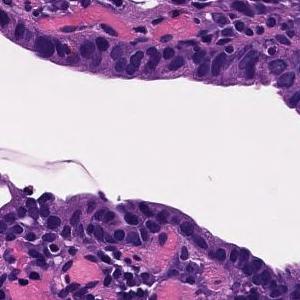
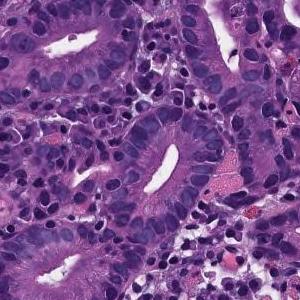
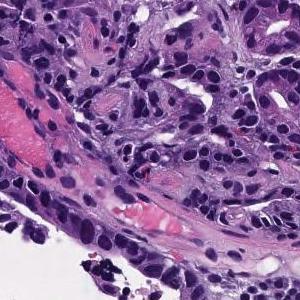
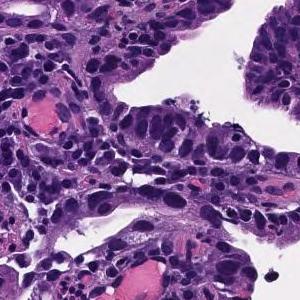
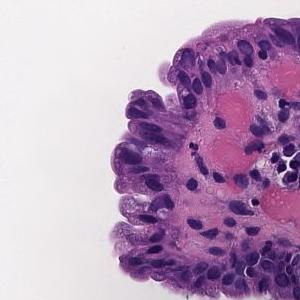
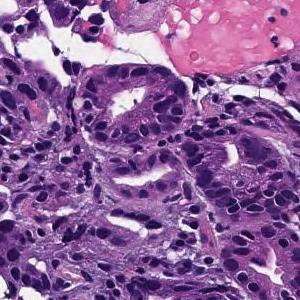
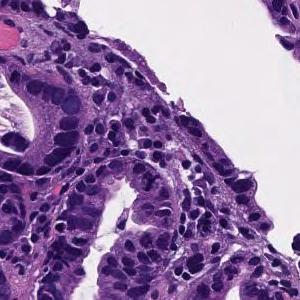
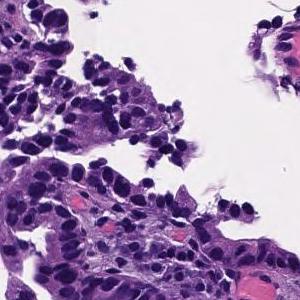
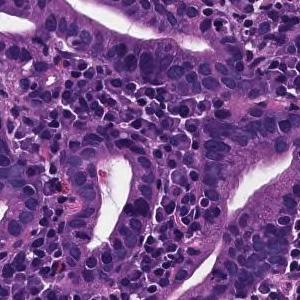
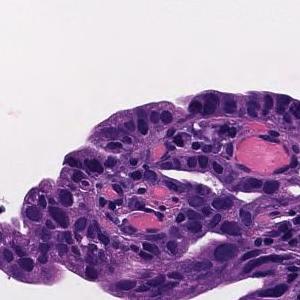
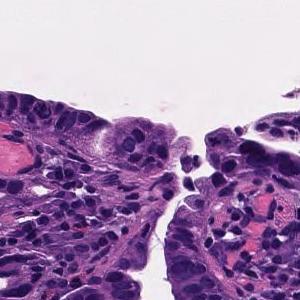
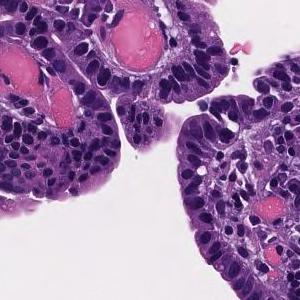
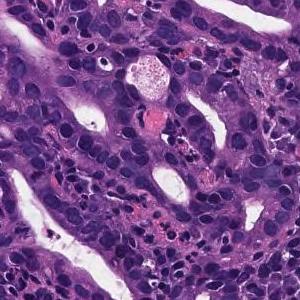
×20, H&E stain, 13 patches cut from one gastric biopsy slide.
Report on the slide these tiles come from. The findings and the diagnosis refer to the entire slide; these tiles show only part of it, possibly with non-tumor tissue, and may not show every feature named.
From the superficial epithelium to the muscularis mucosae, tumor tissue consisting of medium-sized and irregular glandular ducts infiltrating is observed. Well differentiated tubular adenocarcinoma
